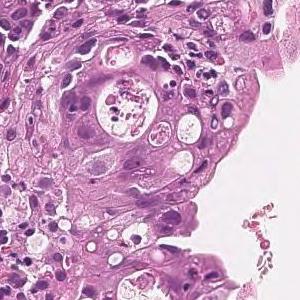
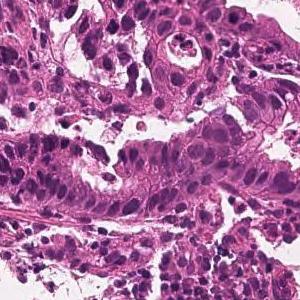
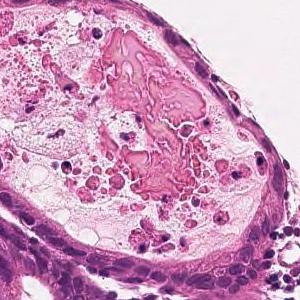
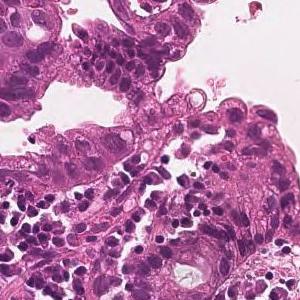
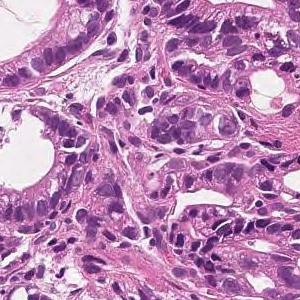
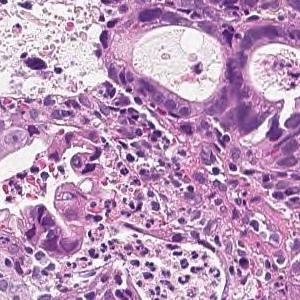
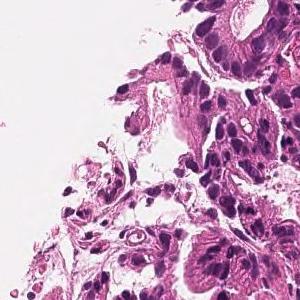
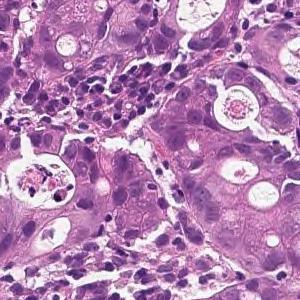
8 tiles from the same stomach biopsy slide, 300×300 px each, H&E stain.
The pathologist's report on the biopsy slide these tiles were taken from. The report and the diagnosis describe the slide as a whole, so these tiles may not show every feature named and may include non-tumor tissue.
On the superficial epithelium, tumor tissue is found in which medium-sized irregular gland ducts fuse with each other and infiltrate. moderately differentiated tubular adenocarcinoma
